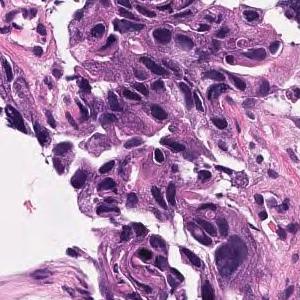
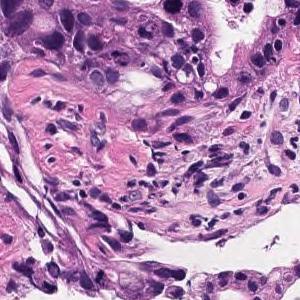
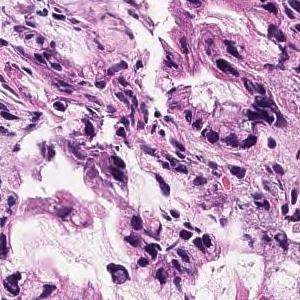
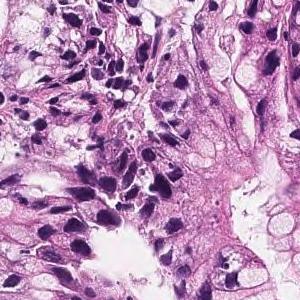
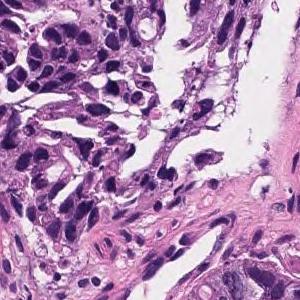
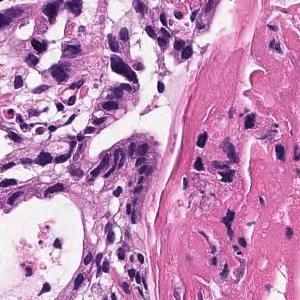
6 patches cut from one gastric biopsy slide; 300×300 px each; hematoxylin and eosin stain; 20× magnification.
The pathologist's report on the biopsy slide these tiles were taken from. Both the report and the diagnosis are for the whole slide: these tiles need not show every feature named, and some of the tissue shown may not be tumor.
In the superficial epithelium, tumor tissue that invades by forming medium-sized to small, irregular ducts is observed. Moderately differentiated adenocarcinoma.
Histologic type: Moderately differentiated tubular adenocarcinoma.
